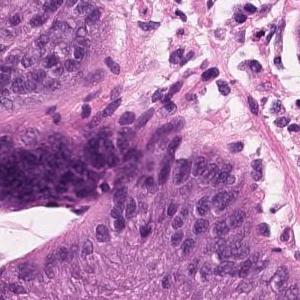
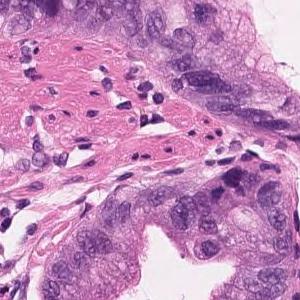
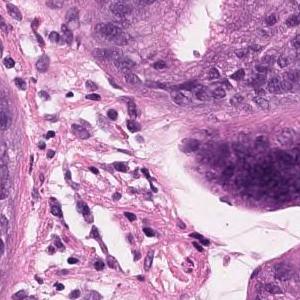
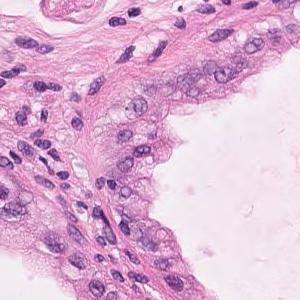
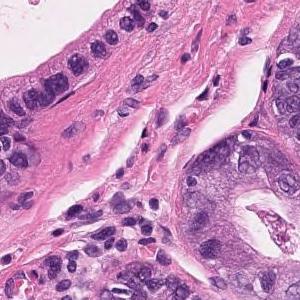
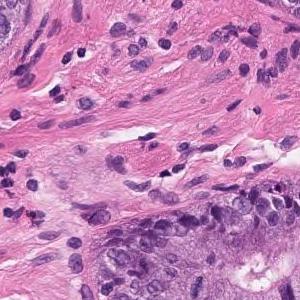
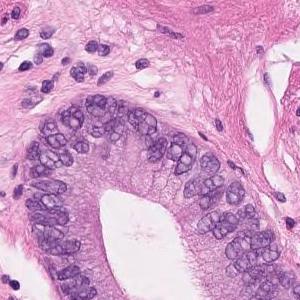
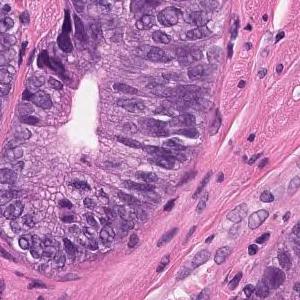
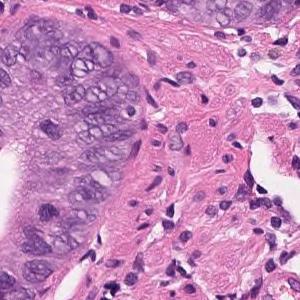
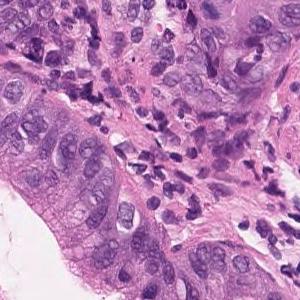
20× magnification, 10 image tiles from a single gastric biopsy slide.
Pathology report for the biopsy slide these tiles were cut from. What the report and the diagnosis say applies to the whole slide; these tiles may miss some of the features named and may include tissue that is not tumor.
Atypical l cells with atypical nuclei forming irregular glandular ducts. Well differentiated tubuar adenocarcinoma (well differentiated tubular adenocarcinoma)
Tumor subtype: well differentiated tubular adenocarcinoma.
